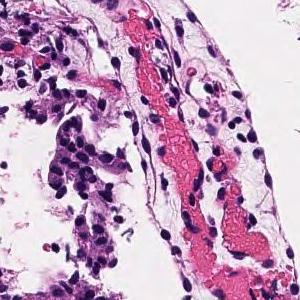
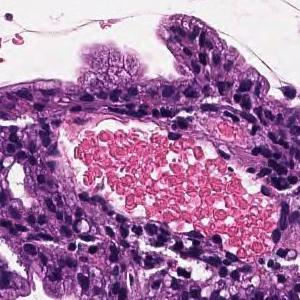
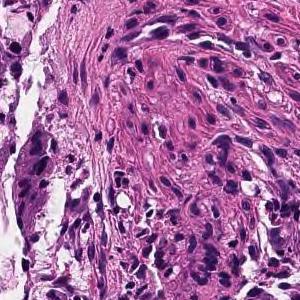
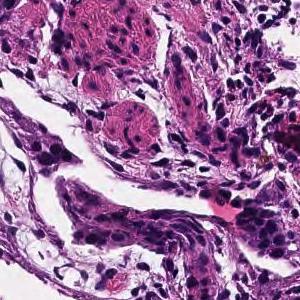
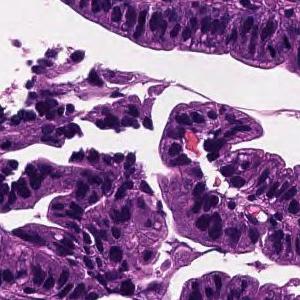
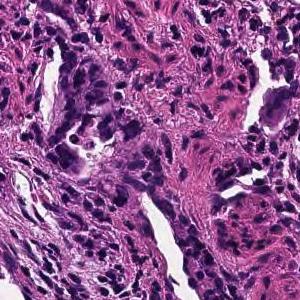
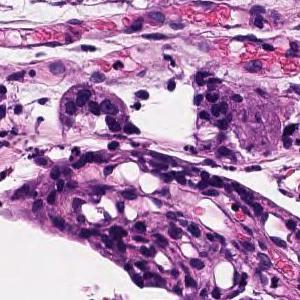
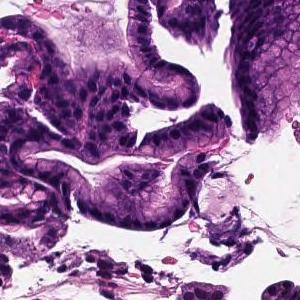
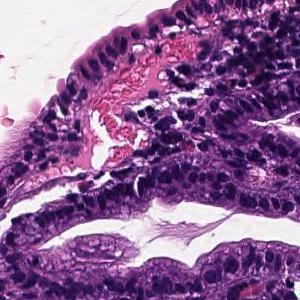
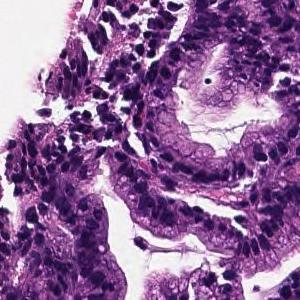
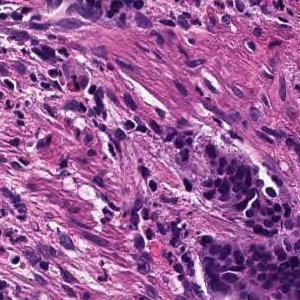
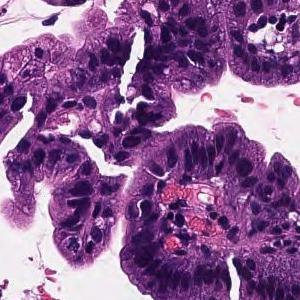
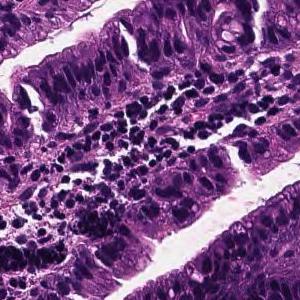
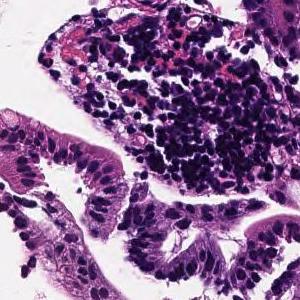
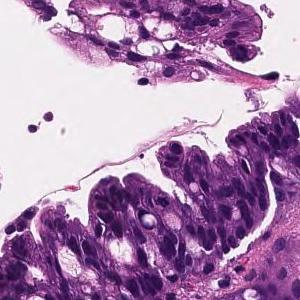
Hematoxylin and eosin stain, 15 patches cut from one gastric biopsy slide, 300 × 300 pixels each.
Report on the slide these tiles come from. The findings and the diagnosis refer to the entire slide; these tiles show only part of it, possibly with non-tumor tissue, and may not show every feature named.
On the superficial epithelium, tumor tissue that infiltrates by forming medium-sized papillary or small irregular ducts is observed. Papillary adenocarcinoma
